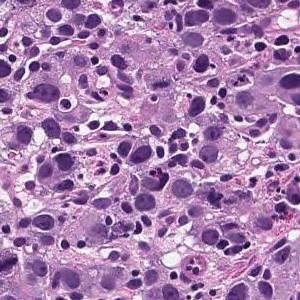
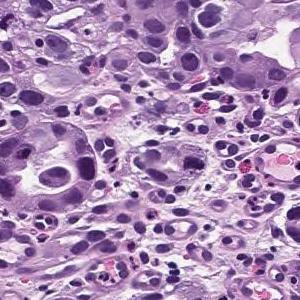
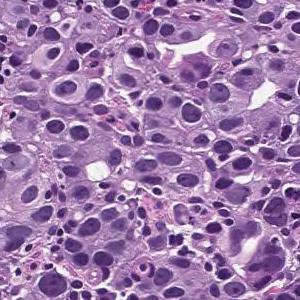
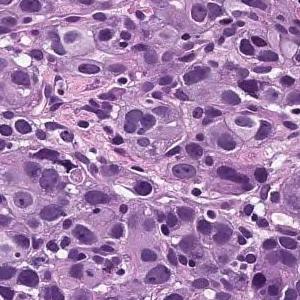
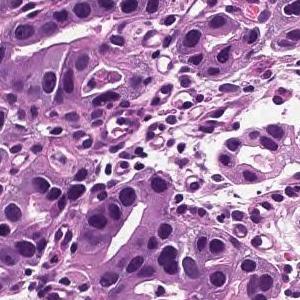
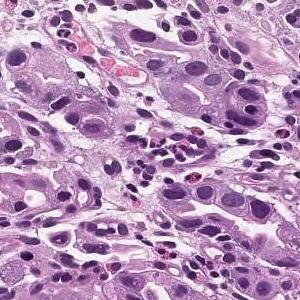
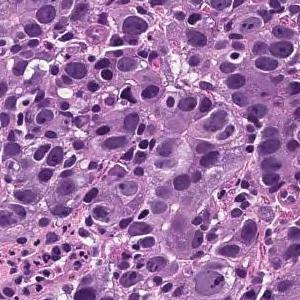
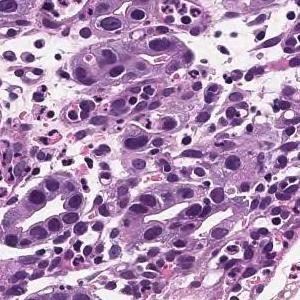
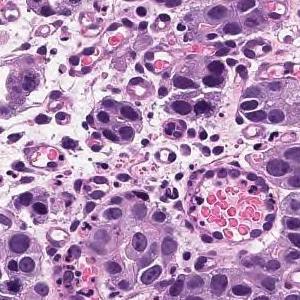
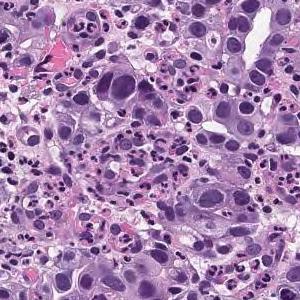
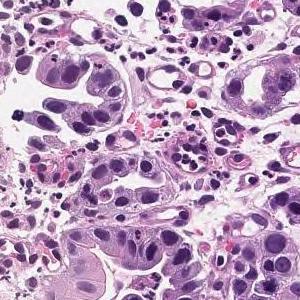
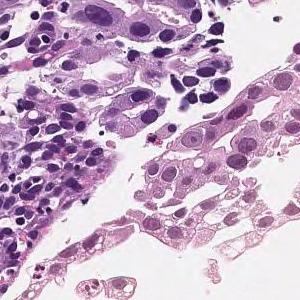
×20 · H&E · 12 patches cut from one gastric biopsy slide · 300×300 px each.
Pathology report for the biopsy slide these tiles were cut from. The report describes the whole slide, diagnosis included: not every finding it names need appear in these tiles, which may also show non-tumor tissue.
The superficial epithelium shows a large sheet or alveolar shape, and tumor tissue infiltrating without irregular ducts is observed. Poorly differentiated adenocarcinoma, solid-type
Classified as poorly differentiated adenocarcinoma, solid type (Japanese Classification of Gastric Carcinoma). The WHO 2019 equivalent is tubular adenocarcinoma, poorly differentiated.
